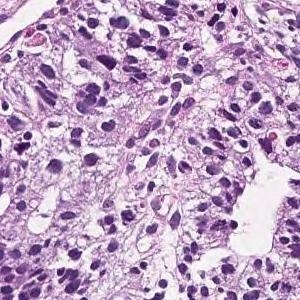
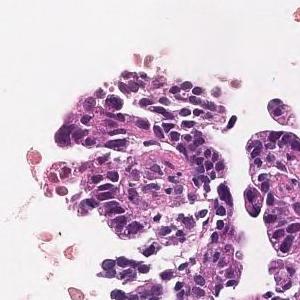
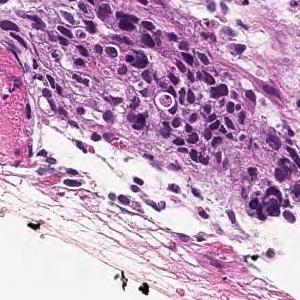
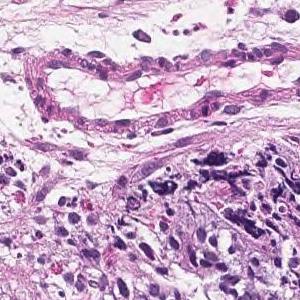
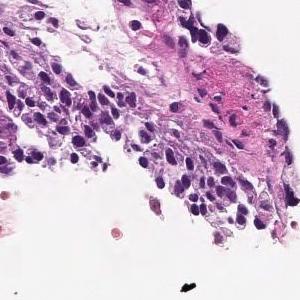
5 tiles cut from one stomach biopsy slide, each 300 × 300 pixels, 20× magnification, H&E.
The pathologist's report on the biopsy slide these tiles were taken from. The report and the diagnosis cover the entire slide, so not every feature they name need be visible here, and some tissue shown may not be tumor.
In the superficial epithelium, tumor tissue that invades by forming medium-sized to small, irregular ducts is observed. moderately differentiated tubular adenocarcinoma.
